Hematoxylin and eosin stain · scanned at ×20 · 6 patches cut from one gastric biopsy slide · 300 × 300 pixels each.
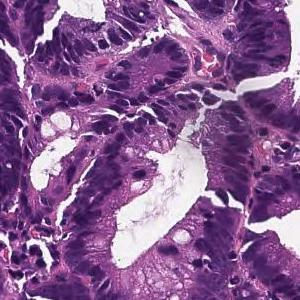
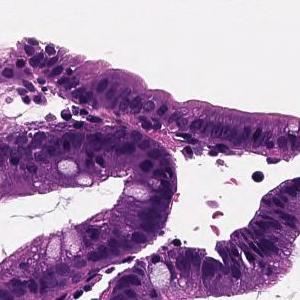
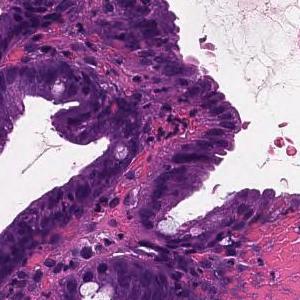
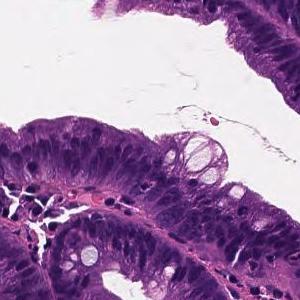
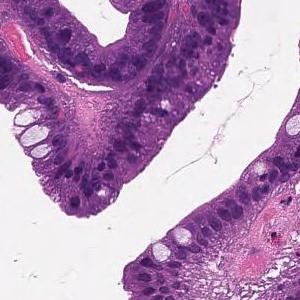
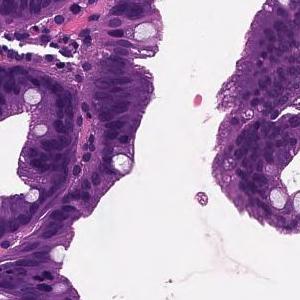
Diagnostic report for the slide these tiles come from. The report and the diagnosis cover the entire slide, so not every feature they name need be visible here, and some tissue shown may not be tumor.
moderately differentiated tubular adenocarcinoma infiltrates in the submucosa massively.
Subtype: Moderately differentiated tubular adenocarcinoma.
